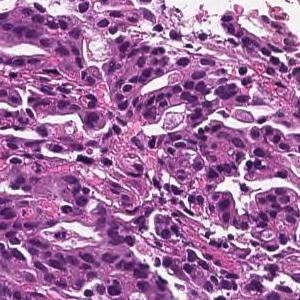
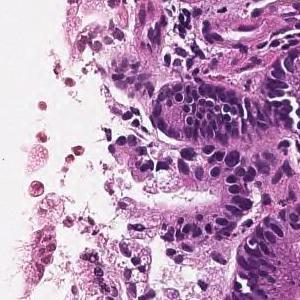
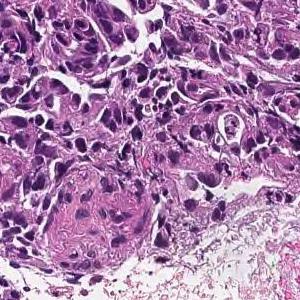
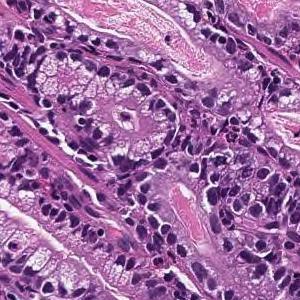
Scanned at ×20, 4 tiles cut from one stomach biopsy slide, 300×300 px each.
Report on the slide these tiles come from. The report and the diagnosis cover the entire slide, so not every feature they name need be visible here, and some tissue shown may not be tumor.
On the superficial epithelium, tumor tissue that infiltrates by forming medium-sized papillary or small irregular ducts is observed. Papillary adenocarcinoma
